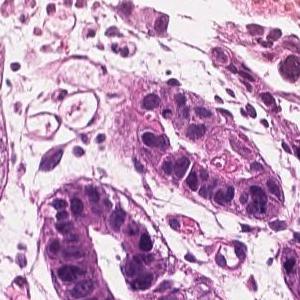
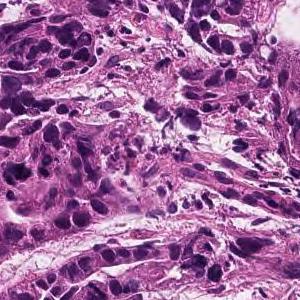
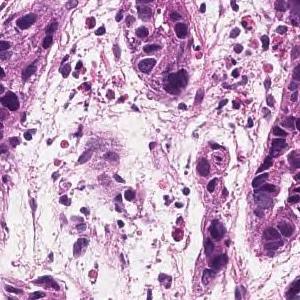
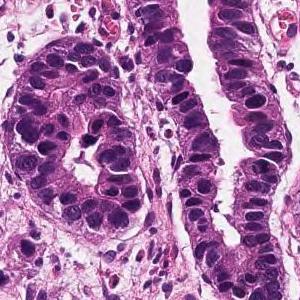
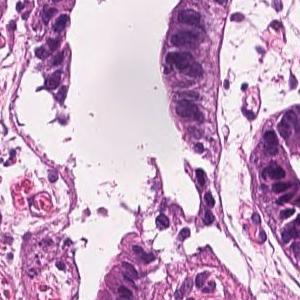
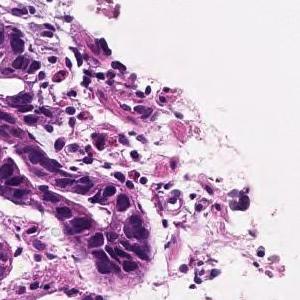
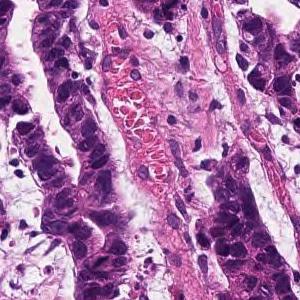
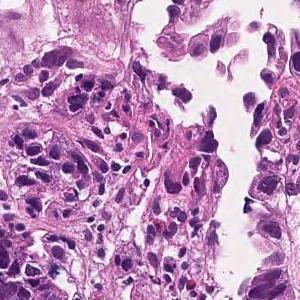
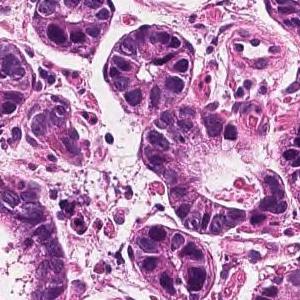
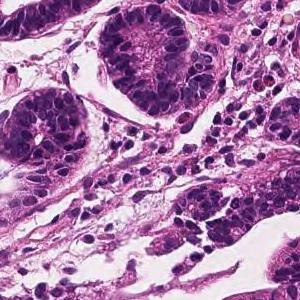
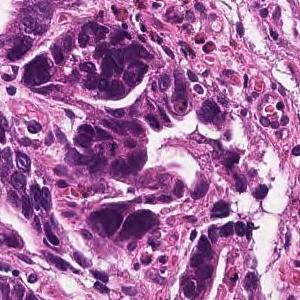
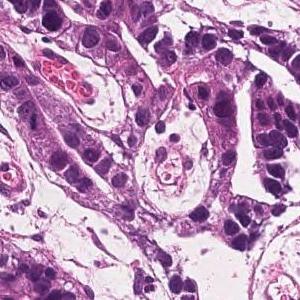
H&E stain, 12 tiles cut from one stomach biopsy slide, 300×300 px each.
Pathology report for the slide these tiles were cut from. Both the report and the diagnosis are for the whole slide: these tiles need not show every feature named, and some of the tissue shown may not be tumor.
In the superficial epithelium, tumor tissue that invades by forming medium-sized to small, irregular ducts is observed. Well differentiated tubular adenocarcinoma.
